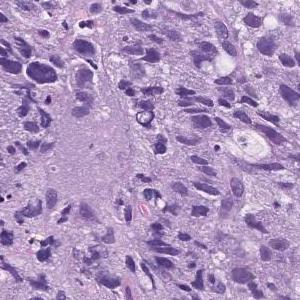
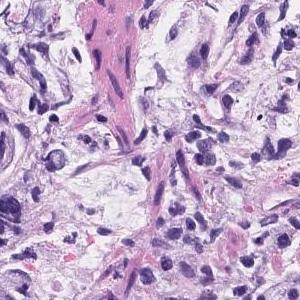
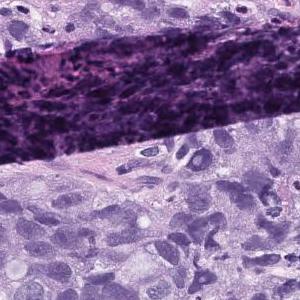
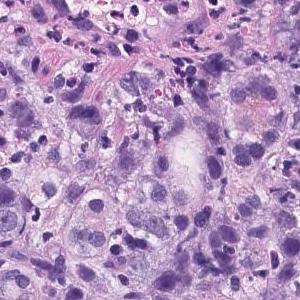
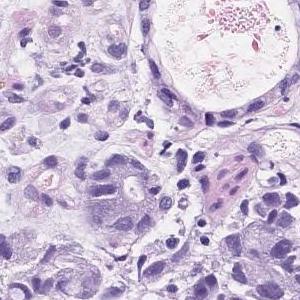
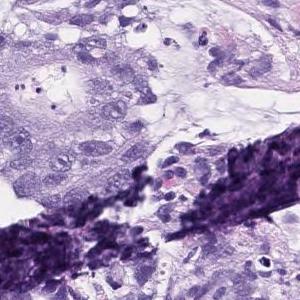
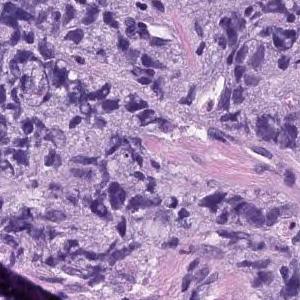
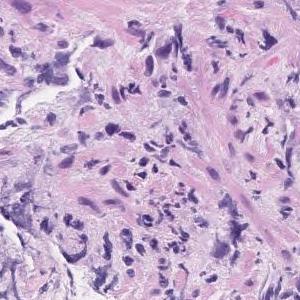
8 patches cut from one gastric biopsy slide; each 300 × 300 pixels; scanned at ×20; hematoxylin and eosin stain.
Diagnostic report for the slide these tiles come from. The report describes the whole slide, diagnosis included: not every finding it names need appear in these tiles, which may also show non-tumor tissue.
Atypical l cells with atypical nuclei forming solid vesicles or small irregular atypical ducts that proliferate in a complex manner. poorly differentiated adenocarcinoma, solid type, moderately differentiated tubular adenocarcinoma
The term "solid type" comes from the Japanese Classification of Gastric Carcinoma; the WHO 2019 equivalent is tubular adenocarcinoma, poorly differentiated.
